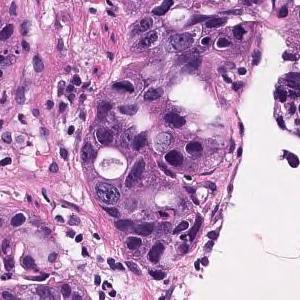
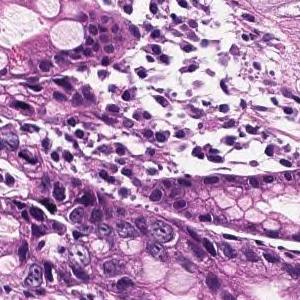
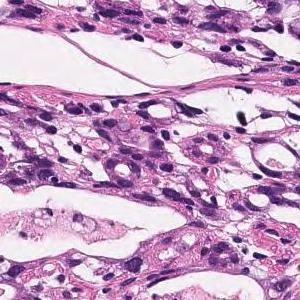
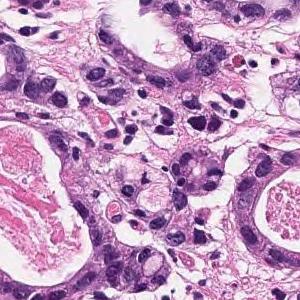
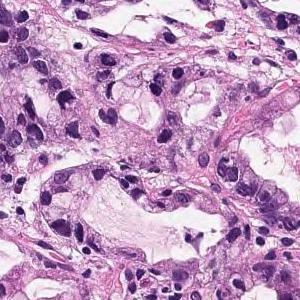
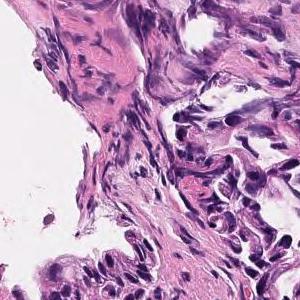
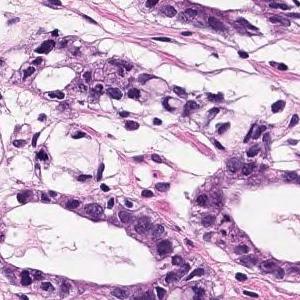
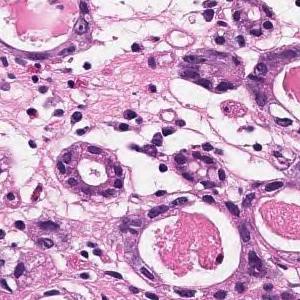
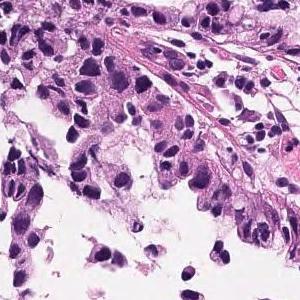
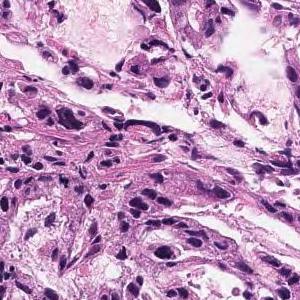
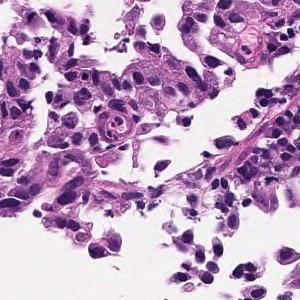
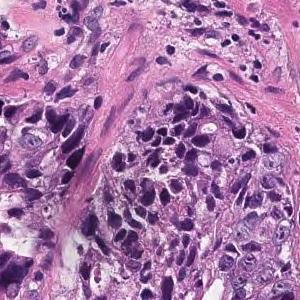
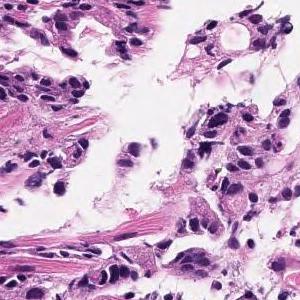
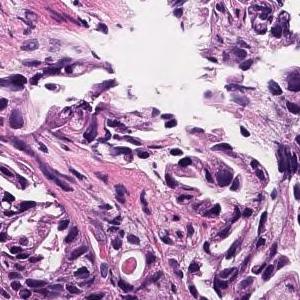
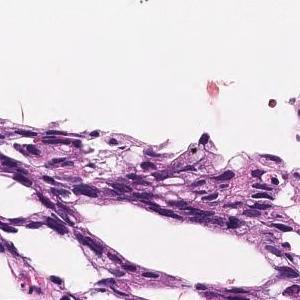
15 tiles from the same stomach biopsy slide; 300×300 px each; scanned at ×20; H&E.
Diagnostic report for the slide these tiles come from. The findings and the diagnosis refer to the entire slide; these tiles show only part of it, possibly with non-tumor tissue, and may not show every feature named.
In the superficial epithelium, tumor tissue that invades by forming medium-sized to small, irregular ducts is observed. Moderately differentiated adenocarcinoma.
Histological subtype: Moderately differentiated tubular adenocarcinoma.
